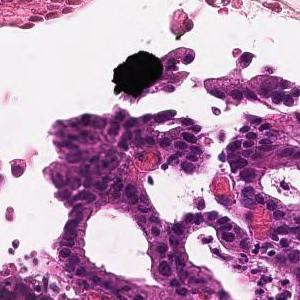
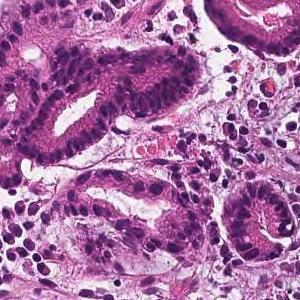
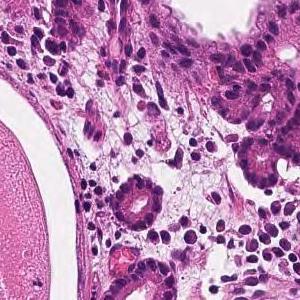
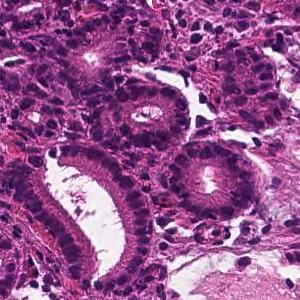
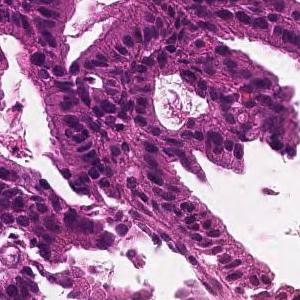
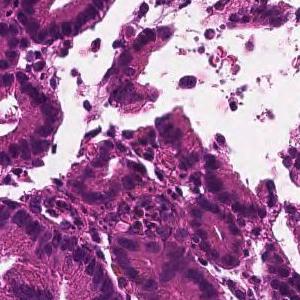
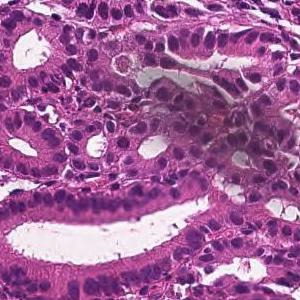
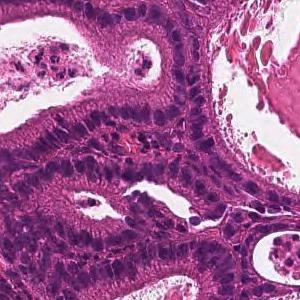
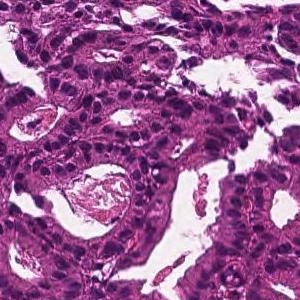
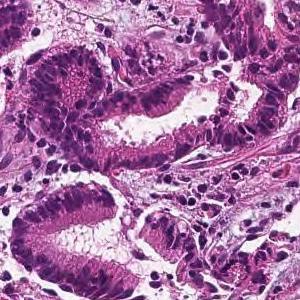
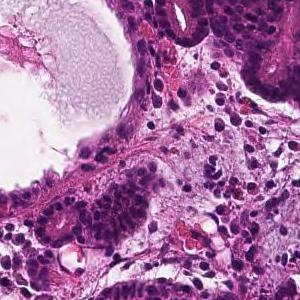
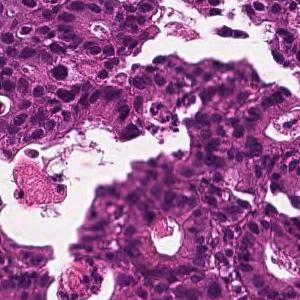
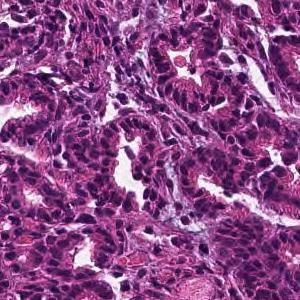
20× magnification · 13 image tiles from a single gastric biopsy slide.
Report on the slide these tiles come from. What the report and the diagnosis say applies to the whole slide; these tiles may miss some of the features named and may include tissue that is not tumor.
From the superficial epithelium to the muscularis mucosae, tumor tissue consisting of medium-sized and irregular glandular ducts infiltrating is observed. Well differentiated tubular adenocarcinoma
